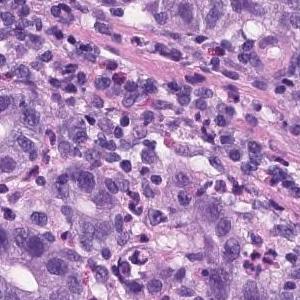
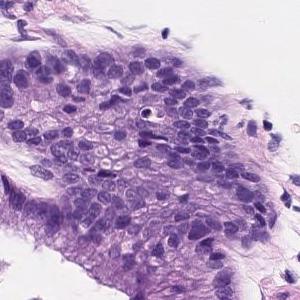
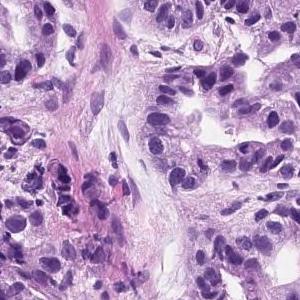
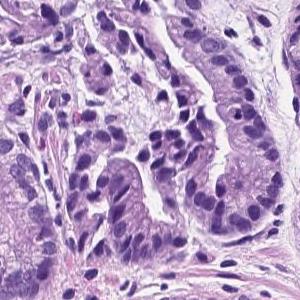
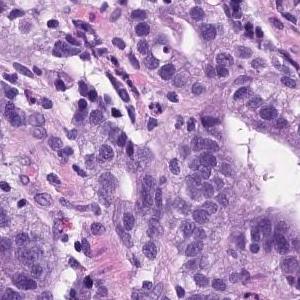
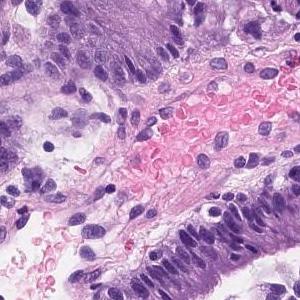
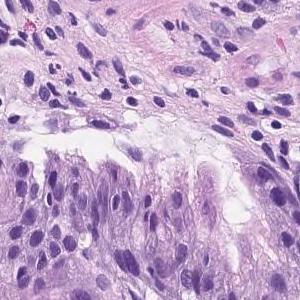
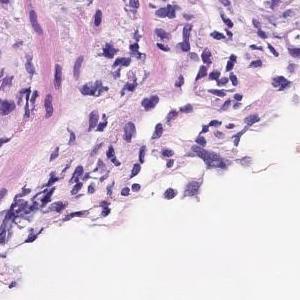
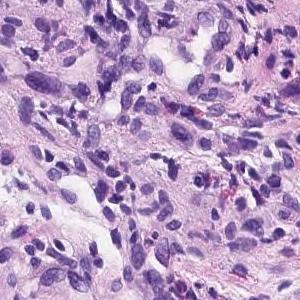
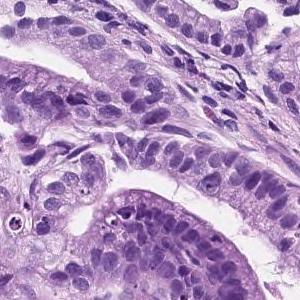
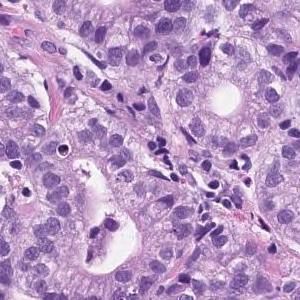
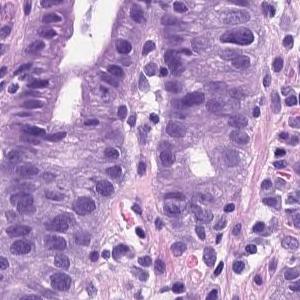
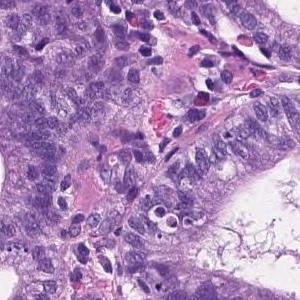
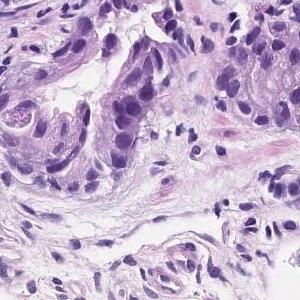
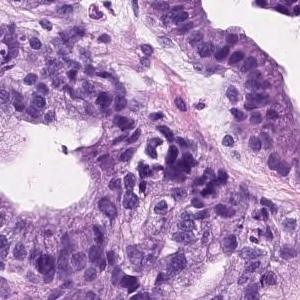
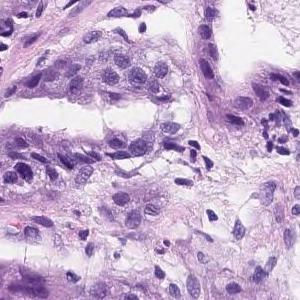
16 image tiles from a single gastric biopsy slide; 300×300 px each; H&E stain.
Diagnostic report for the slide these tiles come from. The findings and the diagnosis refer to the entire slide; these tiles show only part of it, possibly with non-tumor tissue, and may not show every feature named.
Tumor tissue consisting of medium-sized and irregular ducts is observed infiltrating in the superficial epithelium. Tumor cells are highly columnar, with nuclei aligned basolaterally and polarized. Well differentiated tubular adenocarcinoma.
